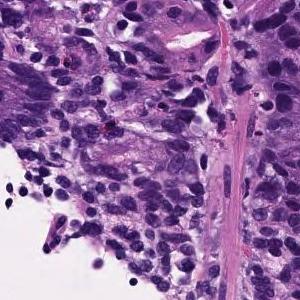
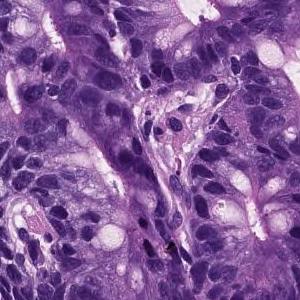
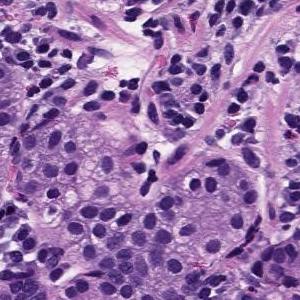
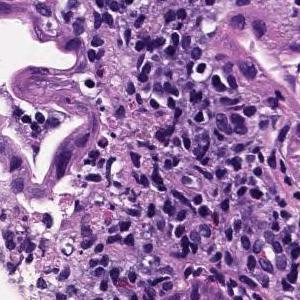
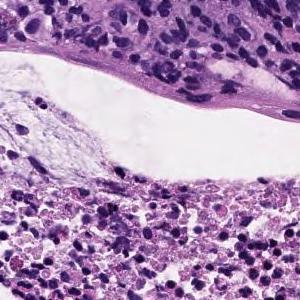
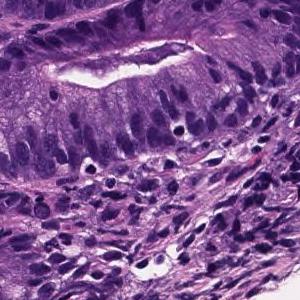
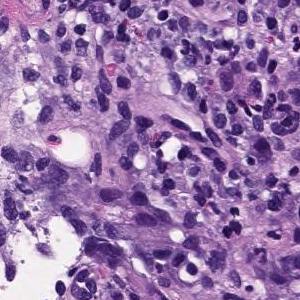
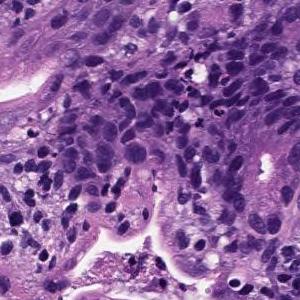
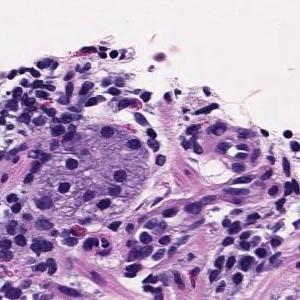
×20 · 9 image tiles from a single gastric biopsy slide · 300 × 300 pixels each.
Pathology report for the biopsy slide these tiles were cut from. The report and the diagnosis cover the entire slide, so not every feature they name need be visible here, and some tissue shown may not be tumor.
Medium to small, irregular glandular ducts are formed in the superficial epithelium, and in some cases, the glandular ducts are fused to show solid alveolar lesions and infiltrating tumor tissue is observed. Moderately to poorly differentiated adenocarcinoma.
